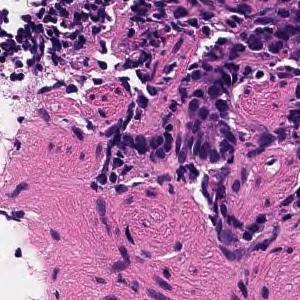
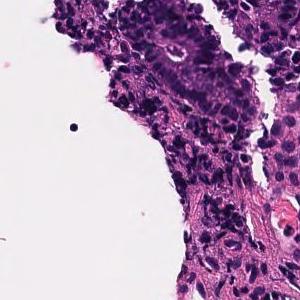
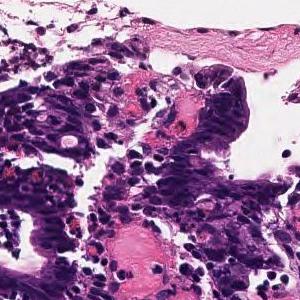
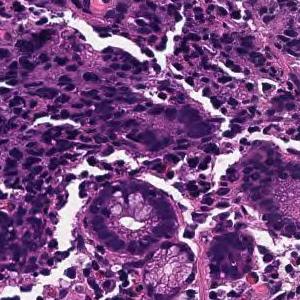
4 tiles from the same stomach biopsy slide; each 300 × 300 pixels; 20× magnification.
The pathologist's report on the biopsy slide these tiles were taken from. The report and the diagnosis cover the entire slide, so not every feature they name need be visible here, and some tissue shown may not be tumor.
In the superficial epithelium, tumor tissue that invades by forming medium-sized to small, irregular ducts is observed. moderately differentiated tubular adenocarcinoma.
